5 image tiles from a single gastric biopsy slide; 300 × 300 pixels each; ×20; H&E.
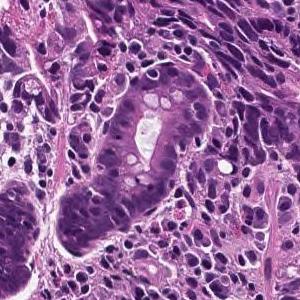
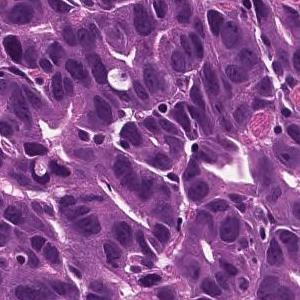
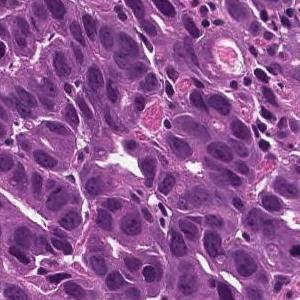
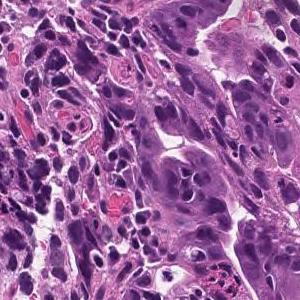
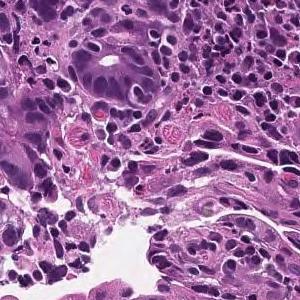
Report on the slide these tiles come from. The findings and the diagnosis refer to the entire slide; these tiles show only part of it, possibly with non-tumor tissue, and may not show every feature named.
On the superficial epithelium, tumor tissue is found in which medium-sized irregular gland ducts fuse with each other and infiltrate. moderately differentiated tubular adenocarcinoma
